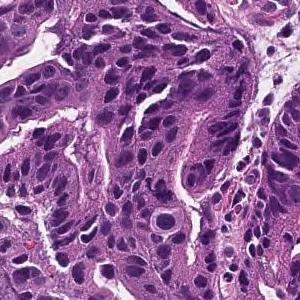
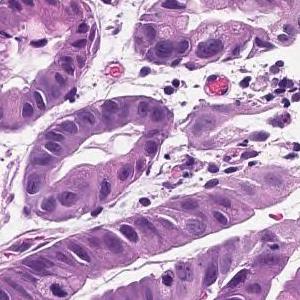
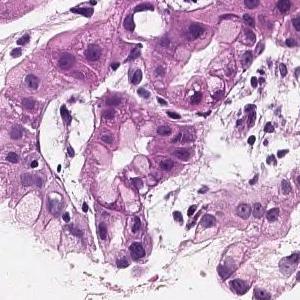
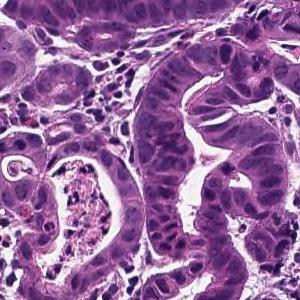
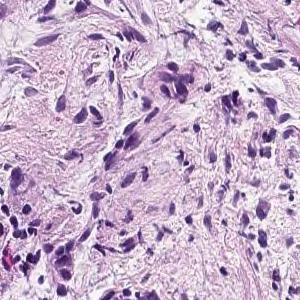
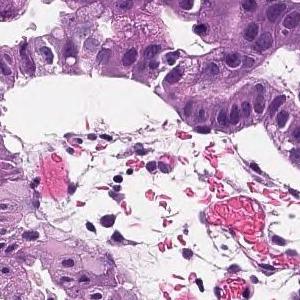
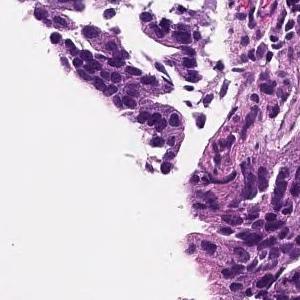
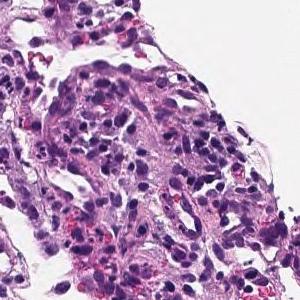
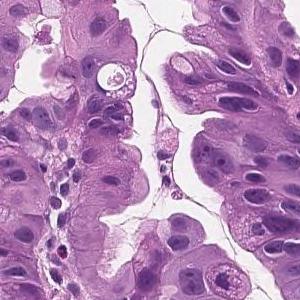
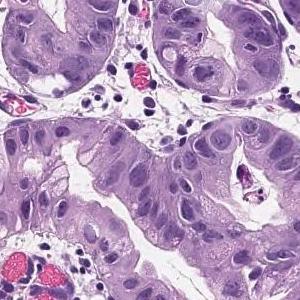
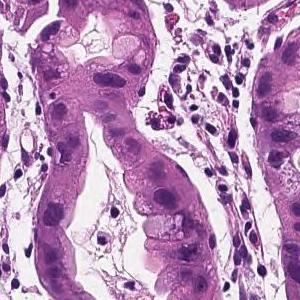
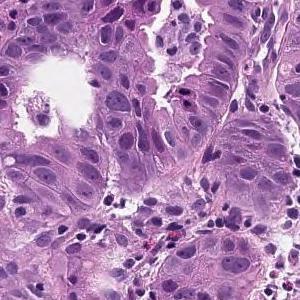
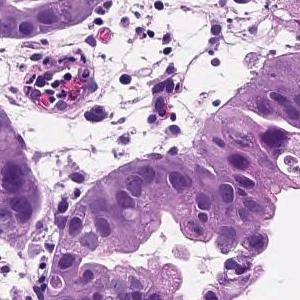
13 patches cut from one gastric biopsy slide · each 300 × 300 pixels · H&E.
Pathology report for the biopsy slide these tiles were cut from. What the report and the diagnosis say applies to the whole slide; these tiles may miss some of the features named and may include tissue that is not tumor.
On the superficial epithelium, tumor tissue that infiltrates by forming medium-sized papillary or small irregular ducts is observed. Papillary adenocarcinoma
